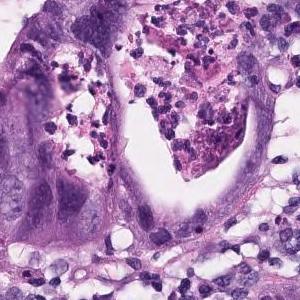
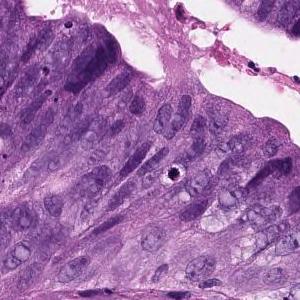
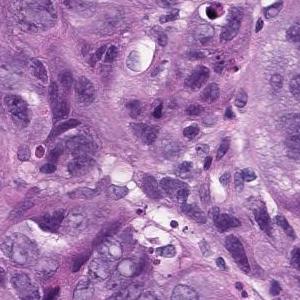
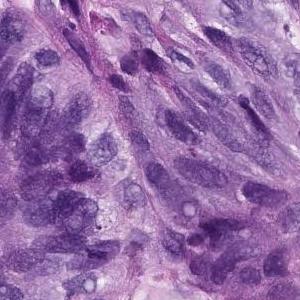
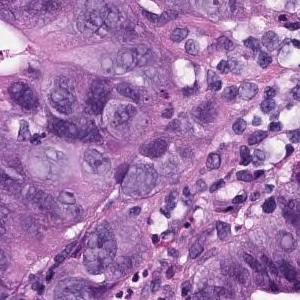
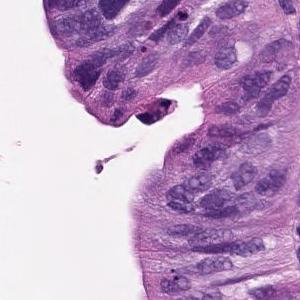
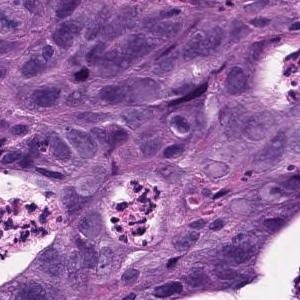
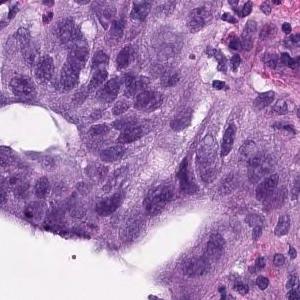
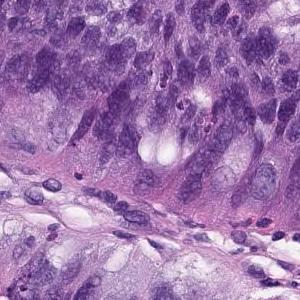
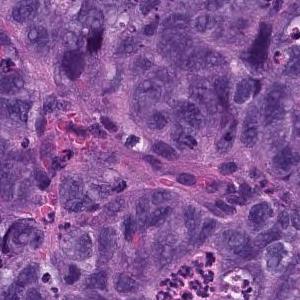
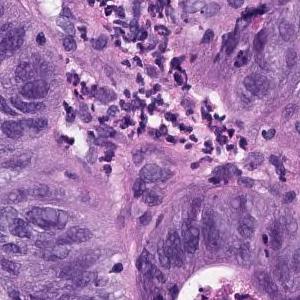
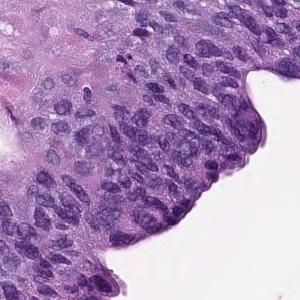
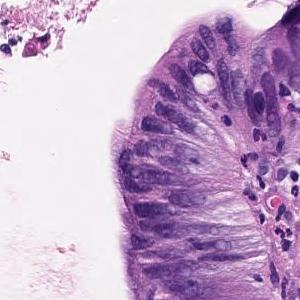
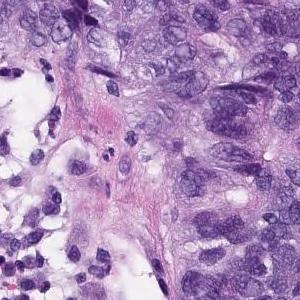
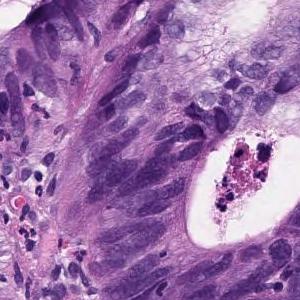
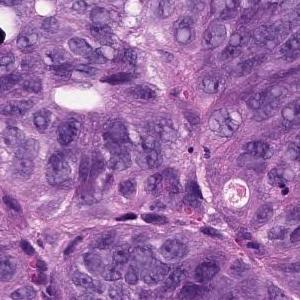
16 patches cut from one gastric biopsy slide; 300 × 300 pixels each; 20× magnification.
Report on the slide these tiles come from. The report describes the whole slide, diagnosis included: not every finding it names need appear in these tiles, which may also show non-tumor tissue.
In the superficial epithelium, tumor tissue that invades by forming medium-sized to small, irregular ducts is observed. Moderately differentiated adenocarcinoma.
Histologic type: Moderately differentiated tubular adenocarcinoma.
